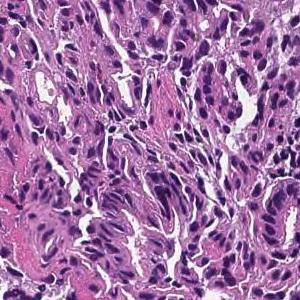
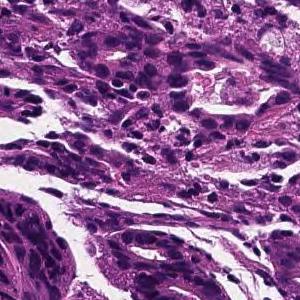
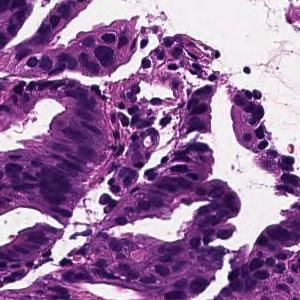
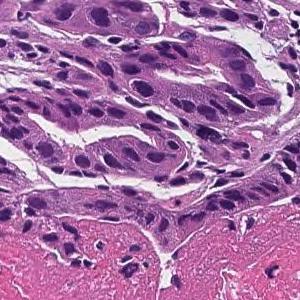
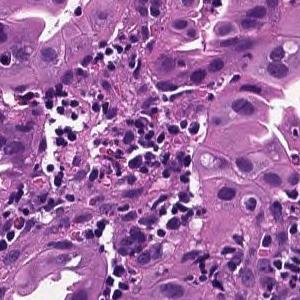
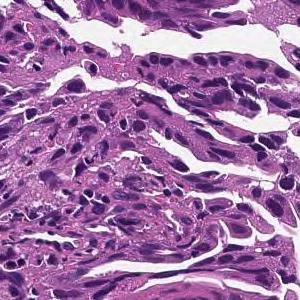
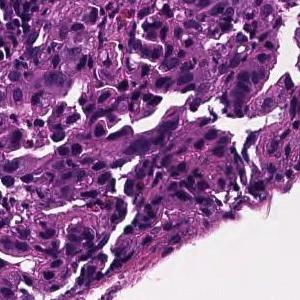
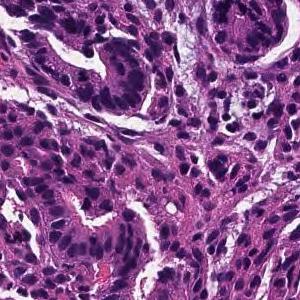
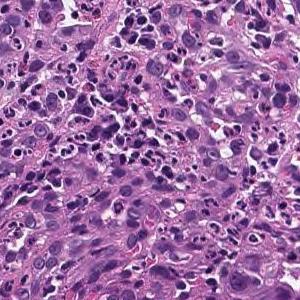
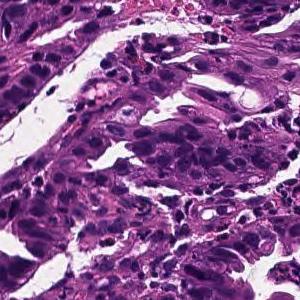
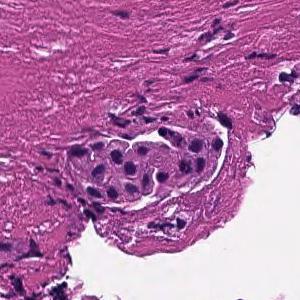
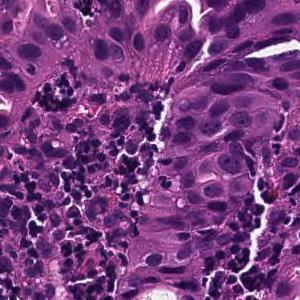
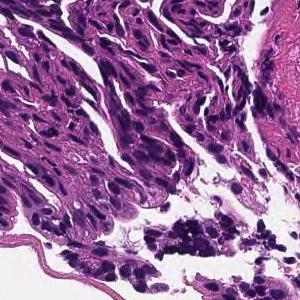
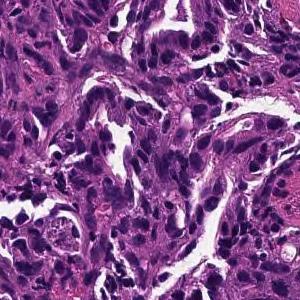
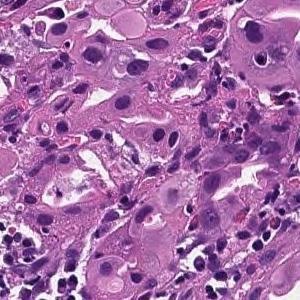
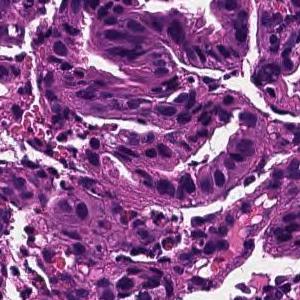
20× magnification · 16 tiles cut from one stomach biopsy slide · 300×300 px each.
Diagnostic report for the slide these tiles come from. The report describes the whole slide, diagnosis included: not every finding it names need appear in these tiles, which may also show non-tumor tissue.
In the superficial epithelium, tumor tissue that invades by forming medium-sized to small, irregular ducts is observed. moderately differentiated tubular adenocarcinoma.
